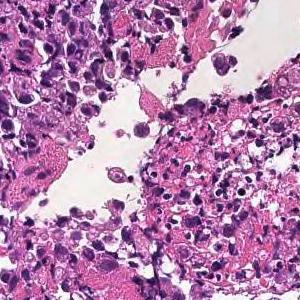
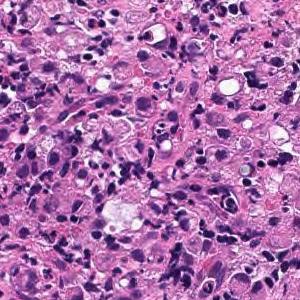
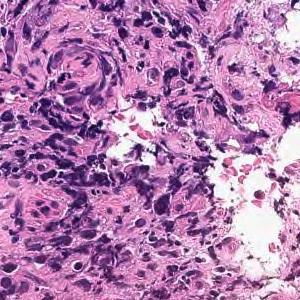
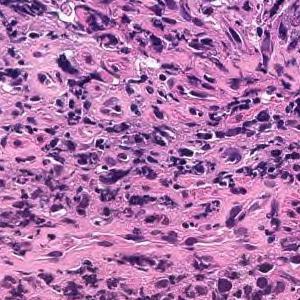
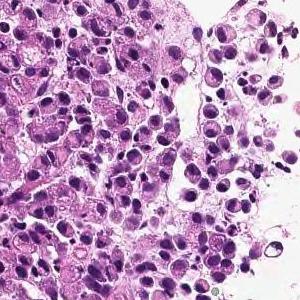
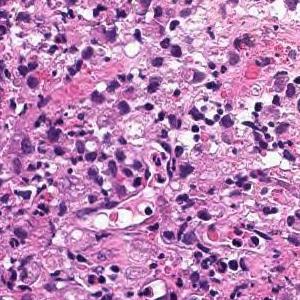
6 patches cut from one gastric biopsy slide.
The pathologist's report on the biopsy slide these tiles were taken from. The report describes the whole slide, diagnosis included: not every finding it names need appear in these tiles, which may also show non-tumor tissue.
Tumor tissue consisting of diffusely infiltrated large atypical epithelial cells or signet ring atypical cells is observed in the superficial epithelium. Poorly differentiated adenocarcinoma, solid-type
Classified as poorly differentiated adenocarcinoma, solid type. This name comes from the Japanese Classification of Gastric Carcinoma; the WHO 2019 classification calls it tubular adenocarcinoma, poorly differentiated.
